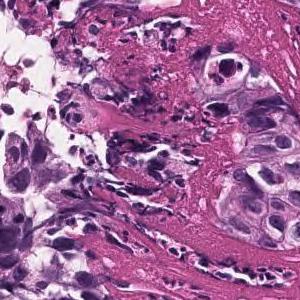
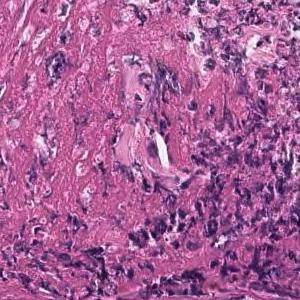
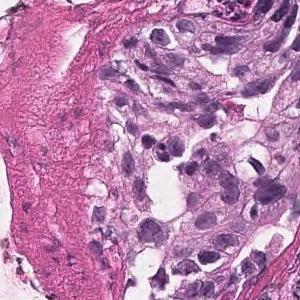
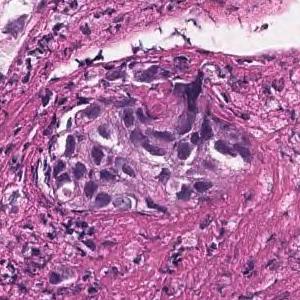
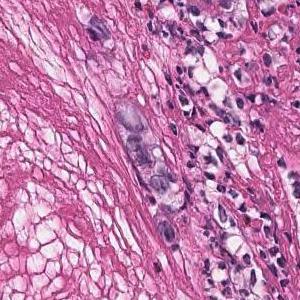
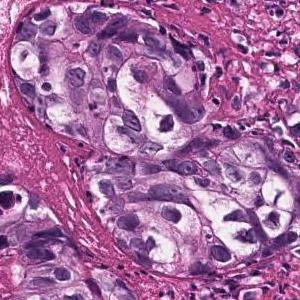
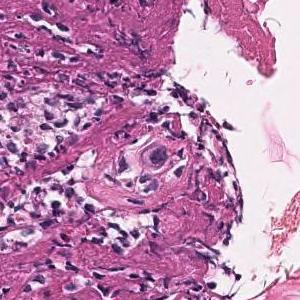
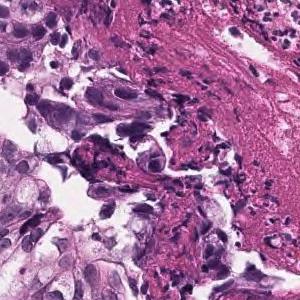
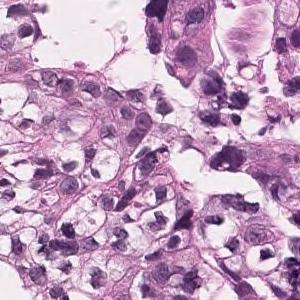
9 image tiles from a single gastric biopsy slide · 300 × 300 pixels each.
Report on the slide these tiles come from. The findings and the diagnosis refer to the entire slide; these tiles show only part of it, possibly with non-tumor tissue, and may not show every feature named.
The superficial epithelium shows a large sheet-like shape, and some tumor tissue infiltrates with small irregular ducts. Poorly differentiated adenocarcinoma, solid-type
Tumor subtype: poorly differentiated adenocarcinoma, solid type. This name comes from the Japanese Classification of Gastric Carcinoma; the WHO 2019 classification calls it tubular adenocarcinoma, poorly differentiated.
